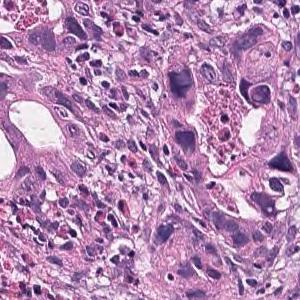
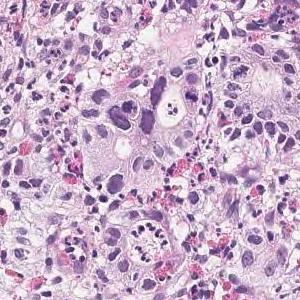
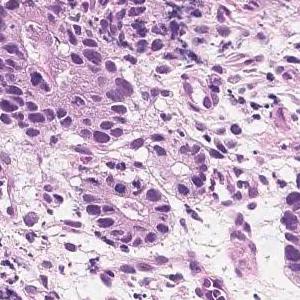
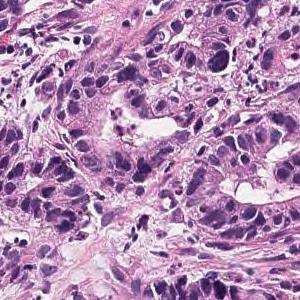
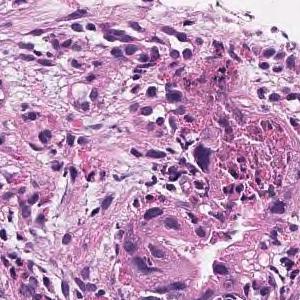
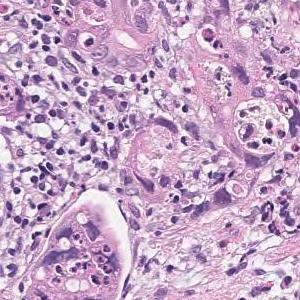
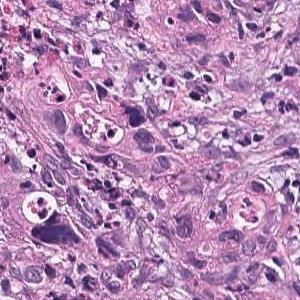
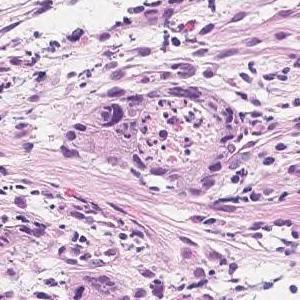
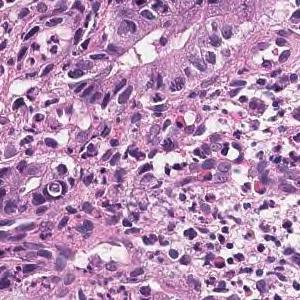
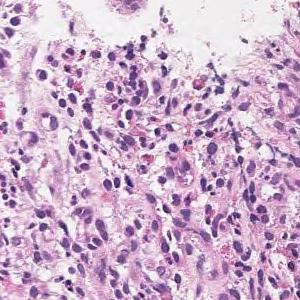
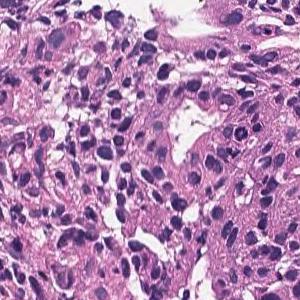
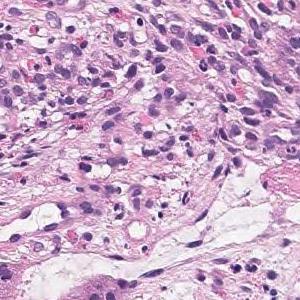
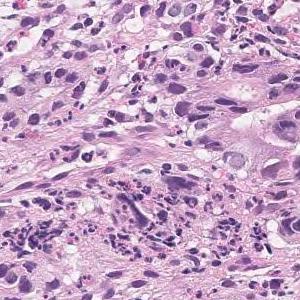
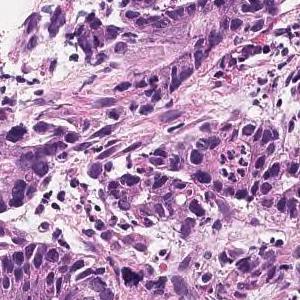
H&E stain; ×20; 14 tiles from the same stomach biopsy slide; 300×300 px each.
The pathologist's report on the biopsy slide these tiles were taken from. The report and the diagnosis describe the slide as a whole, so these tiles may not show every feature named and may include non-tumor tissue.
Tumor tissue that grows by forming glandular cavities from the superficial layer to the submucosa is observed. Well differentiated tubular adenocarcinoma
